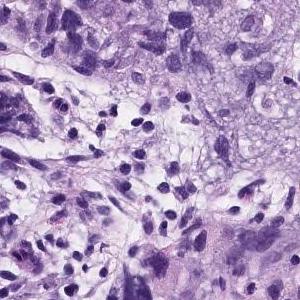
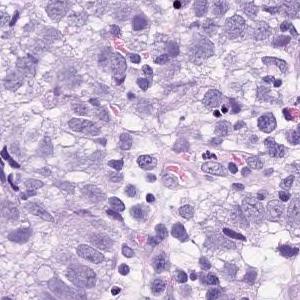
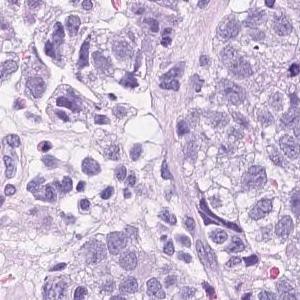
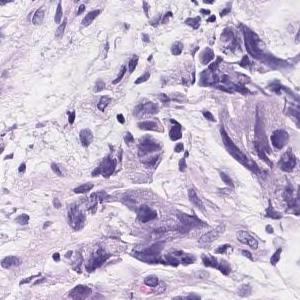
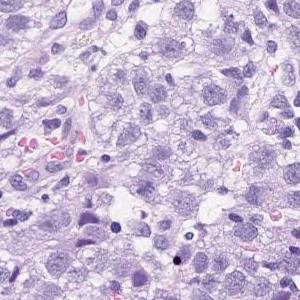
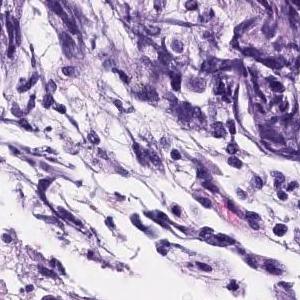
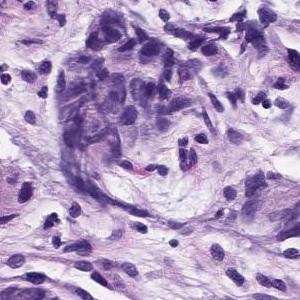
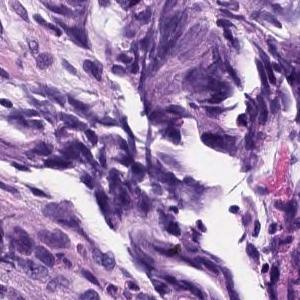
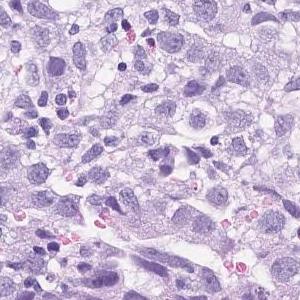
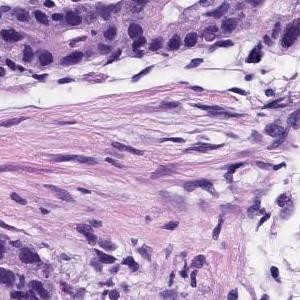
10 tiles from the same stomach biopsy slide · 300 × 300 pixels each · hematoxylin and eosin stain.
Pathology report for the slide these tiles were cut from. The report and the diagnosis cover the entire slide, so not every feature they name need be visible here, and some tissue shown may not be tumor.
Atypical epithelial cells with an increased N/C ratio proliferate and consist of a part that shows the formation of gland ducts and a part that shows solid growth. Poorly differentiated adenocarcinoma, solid-type
Histologic type: Poorly differentiated adenocarcinoma, solid type (Japanese Classification of Gastric Carcinoma). The WHO 2019 equivalent is tubular adenocarcinoma, poorly differentiated.
